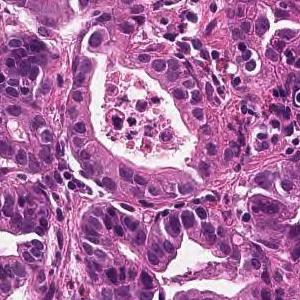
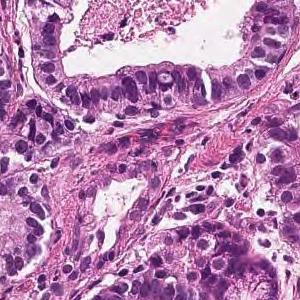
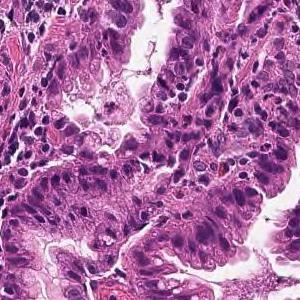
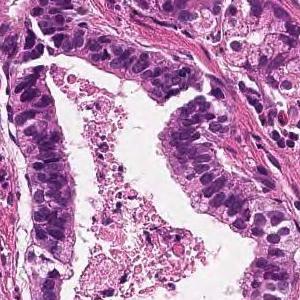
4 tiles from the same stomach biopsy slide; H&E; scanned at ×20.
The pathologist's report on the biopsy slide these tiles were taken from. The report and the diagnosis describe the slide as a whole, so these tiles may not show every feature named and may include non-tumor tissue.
From the superficial epithelium to the muscularis mucosae, tumor tissue consisting of medium-sized and irregular glandular ducts infiltrating is observed. Well differentiated tubular adenocarcinoma
